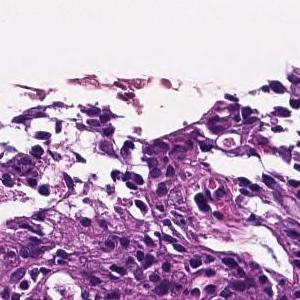
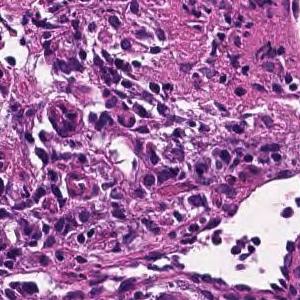
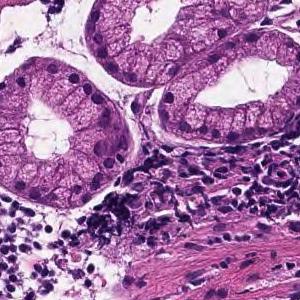
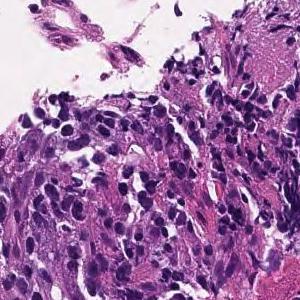
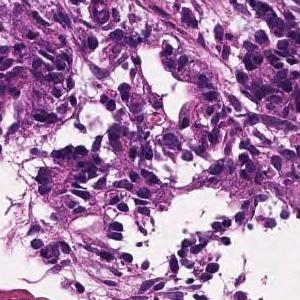
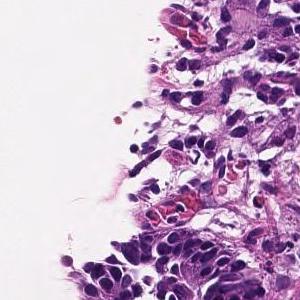
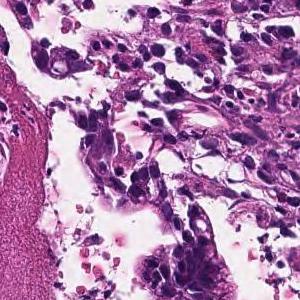
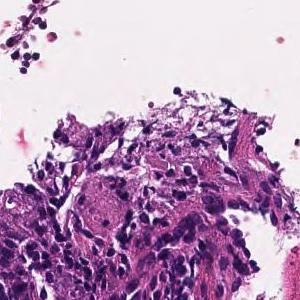
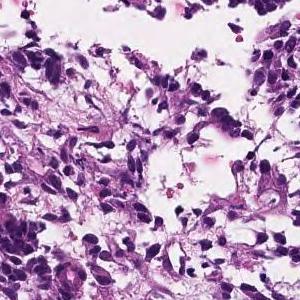
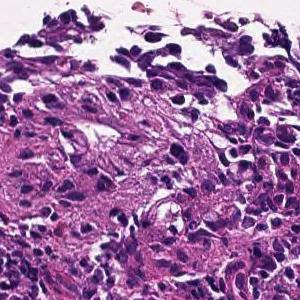
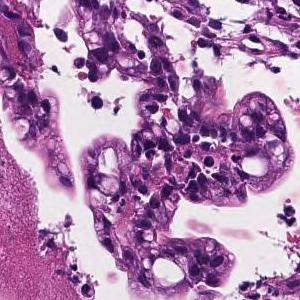
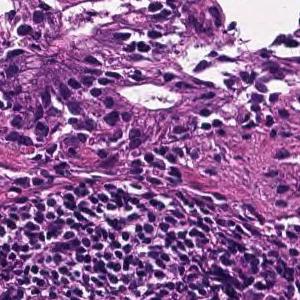
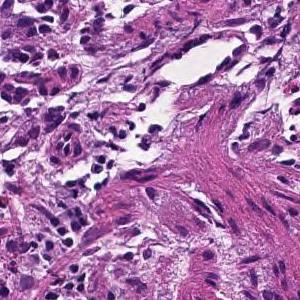
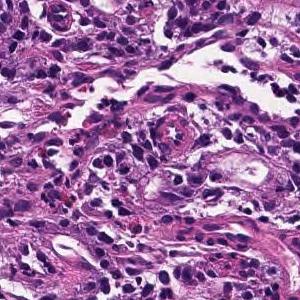
14 image tiles from a single gastric biopsy slide · each 300 × 300 pixels · H&E.
Diagnostic report for the slide these tiles come from. Both the report and the diagnosis are for the whole slide: these tiles need not show every feature named, and some of the tissue shown may not be tumor.
In the superficial epithelium, tumor tissue that invades by forming medium-sized to small, irregular ducts is observed. moderately differentiated tubular adenocarcinoma.
